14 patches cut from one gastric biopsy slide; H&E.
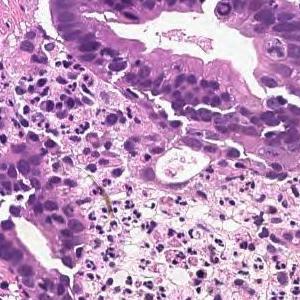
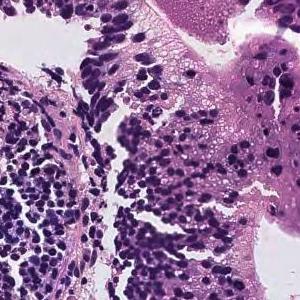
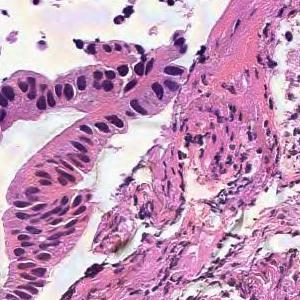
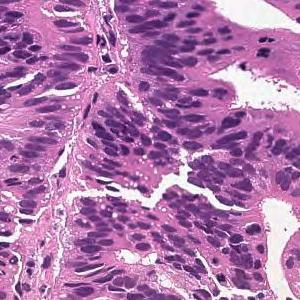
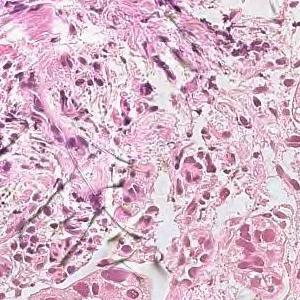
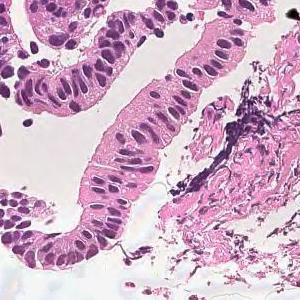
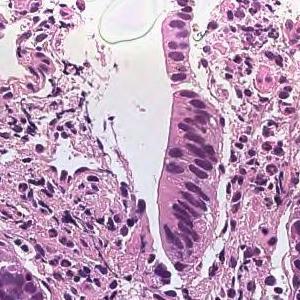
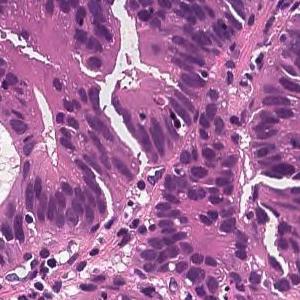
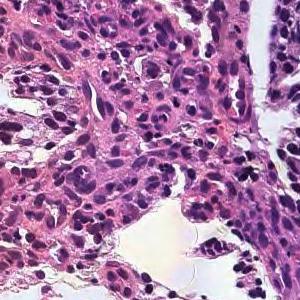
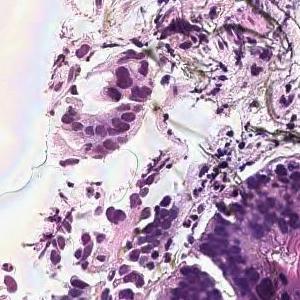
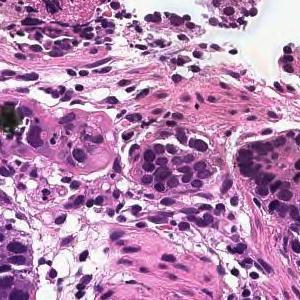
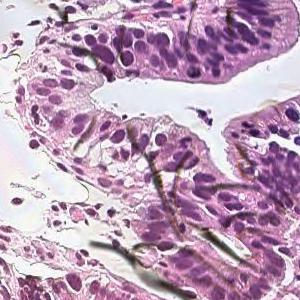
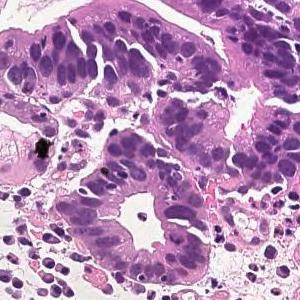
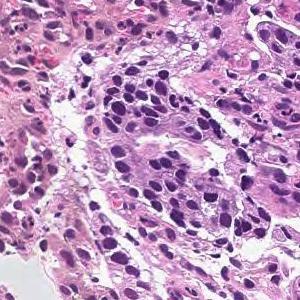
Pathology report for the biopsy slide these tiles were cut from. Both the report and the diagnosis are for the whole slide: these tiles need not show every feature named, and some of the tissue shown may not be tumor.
On the superficial epithelium, tumor tissue consisting of large irregular glandular ducts partially fused and infiltrated is observed. Well to moderately differentiated tubular adenocarcinoma (well differentiated tubular adenocarcinoma, moderately differentiated tubular adenocarcinoma)
Classified as well to moderately differentiated tubular adenocarcinoma.
